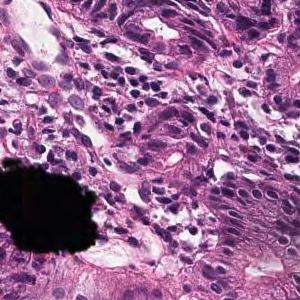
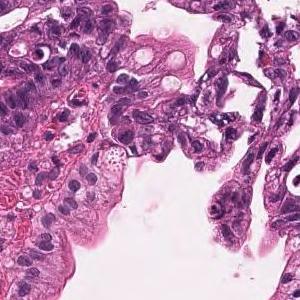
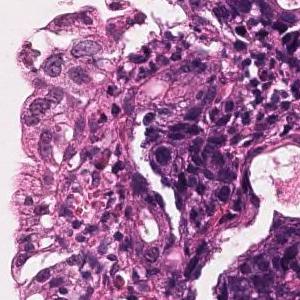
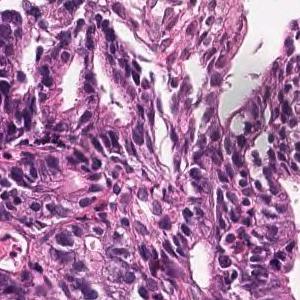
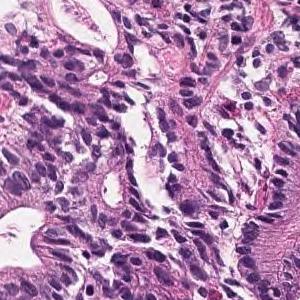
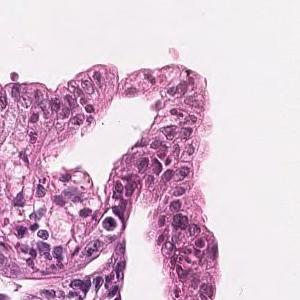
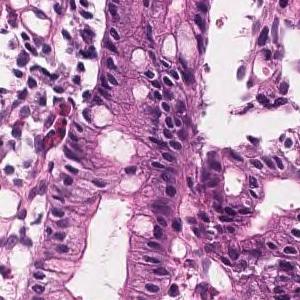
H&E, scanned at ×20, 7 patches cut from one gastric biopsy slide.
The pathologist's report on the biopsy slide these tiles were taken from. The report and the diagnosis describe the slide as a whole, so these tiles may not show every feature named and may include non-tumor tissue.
On the superficial epithelium, tumor tissue consisting of large, irregular glandular ducts partially fused and infiltrated is observed. Well to moderately differentiated tubular adenocarcinoma (well differentiated tubular adenocarcinoma, moderately differentiated tubular adenocarcinoma)
Histologic type: Well to moderately differentiated tubular adenocarcinoma.
